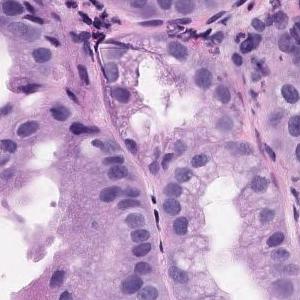
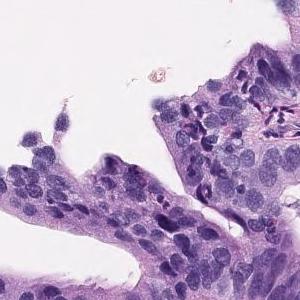
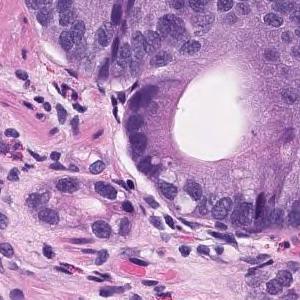
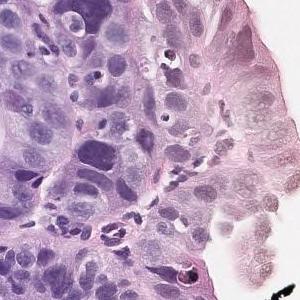
20× magnification · 4 tiles cut from one stomach biopsy slide.
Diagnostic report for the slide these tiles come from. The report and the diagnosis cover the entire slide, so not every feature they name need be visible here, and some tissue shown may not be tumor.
Tumor tissue consisting of medium-sized and irregular ducts is observed infiltrating in the superficial epithelium. Tumor cells are highly columnar, with nuclei aligned basolaterally and polarized. Well differentiated tubular adenocarcinoma.
